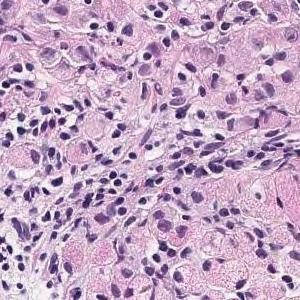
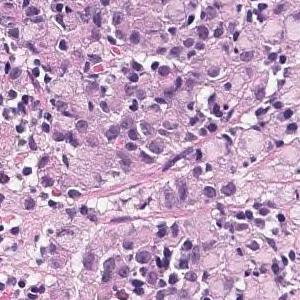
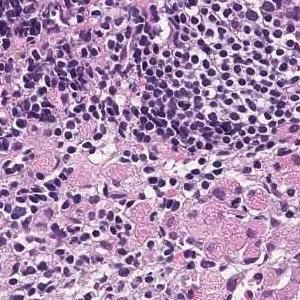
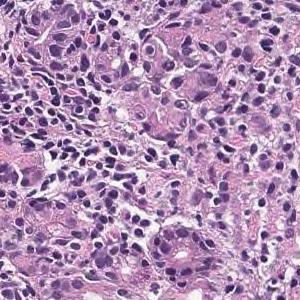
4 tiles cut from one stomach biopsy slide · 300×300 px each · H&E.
The pathologist's report on the biopsy slide these tiles were taken from. What the report and the diagnosis say applies to the whole slide; these tiles may miss some of the features named and may include tissue that is not tumor.
Atypical epithelium with the mucus rich vesicles proliferates solidly. Signet ring cell carcinoma.
